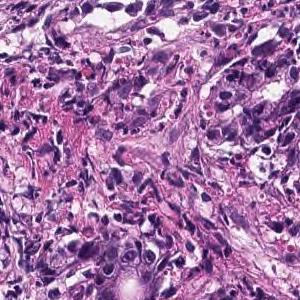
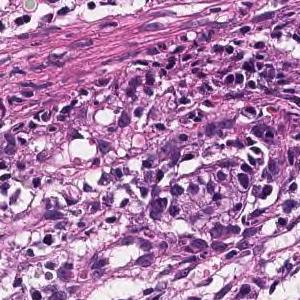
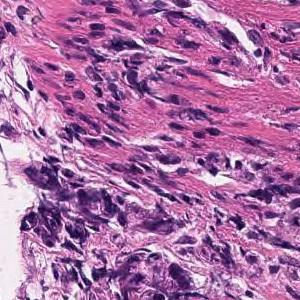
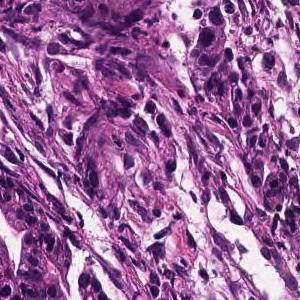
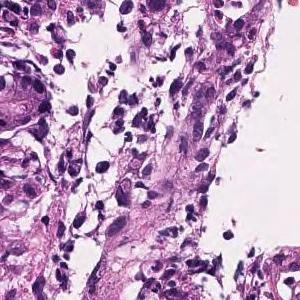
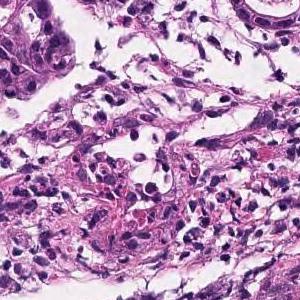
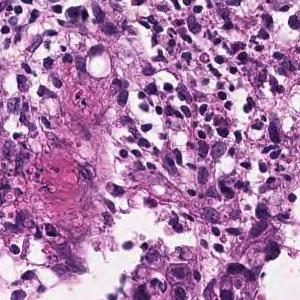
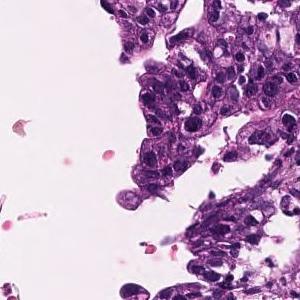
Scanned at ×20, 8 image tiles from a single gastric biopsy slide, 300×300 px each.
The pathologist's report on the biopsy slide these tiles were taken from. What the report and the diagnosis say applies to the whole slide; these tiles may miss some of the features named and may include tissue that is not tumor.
In the superficial epithelium, medium to small, irregular gland ducts are formed, and in some cases, the gland ducts are fused to show solid alveolar lesions and infiltrating tumor tissue is observed. Moderately to poorly differentiated adenocarcinoma.
